16 image tiles from a single gastric biopsy slide · H&E stain · scanned at ×20.
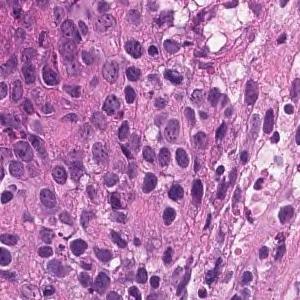
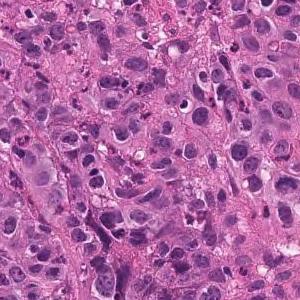
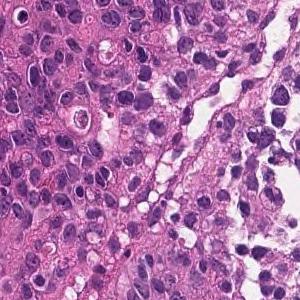
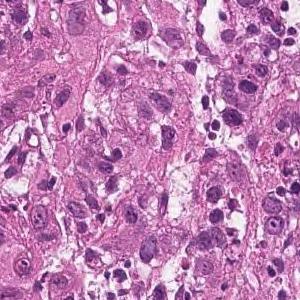
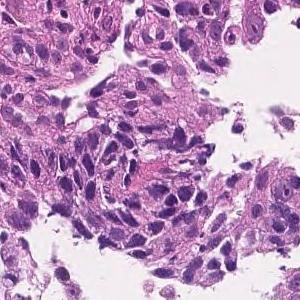
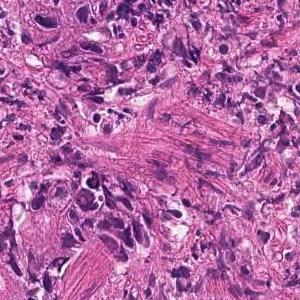
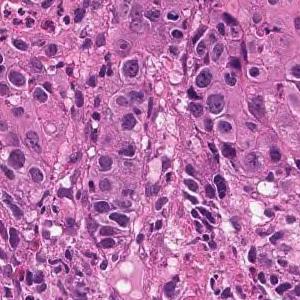
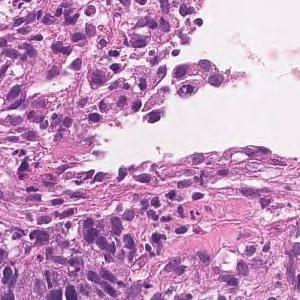
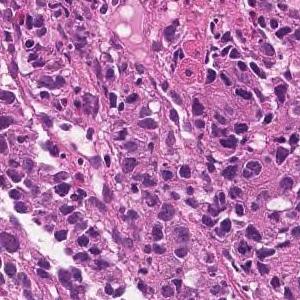
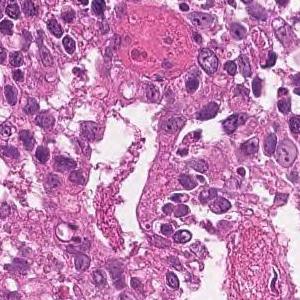
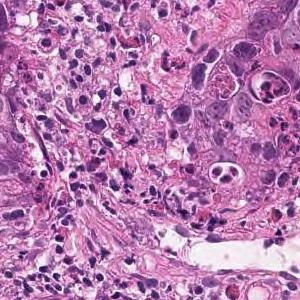
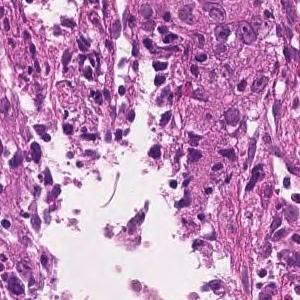
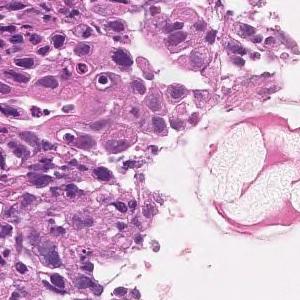
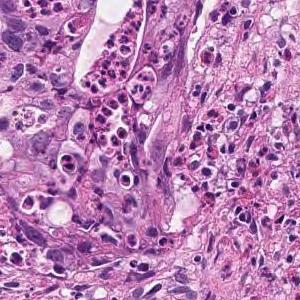
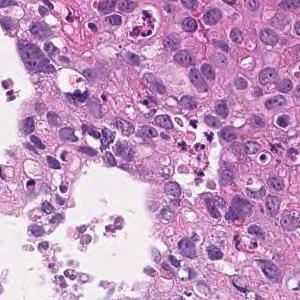
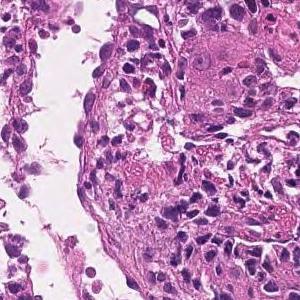
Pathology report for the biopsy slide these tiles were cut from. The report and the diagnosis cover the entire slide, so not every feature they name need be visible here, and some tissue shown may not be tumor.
The superficial epithelium shows a large sheet-like shape, and some tumor tissue infiltrates with small irregular ducts. Poorly differentiated adenocarcinoma, solid-type
Histological subtype: Poorly differentiated adenocarcinoma, solid type. This name comes from the Japanese Classification of Gastric Carcinoma; the WHO 2019 classification calls it tubular adenocarcinoma, poorly differentiated.
